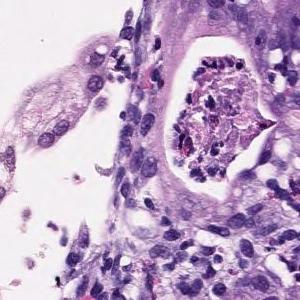
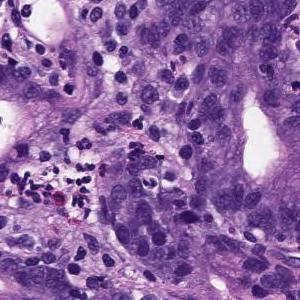
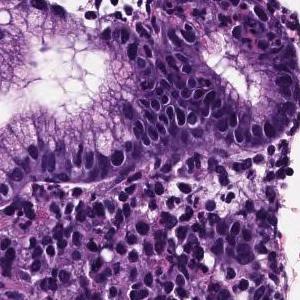
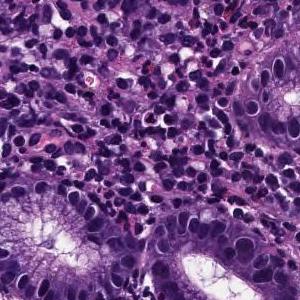
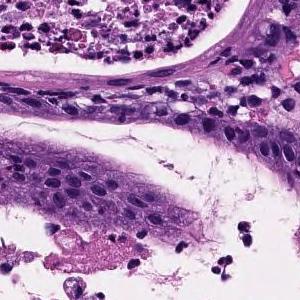
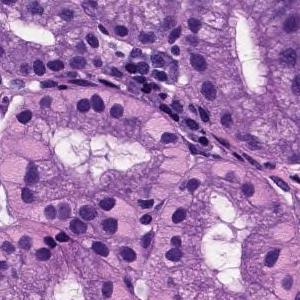
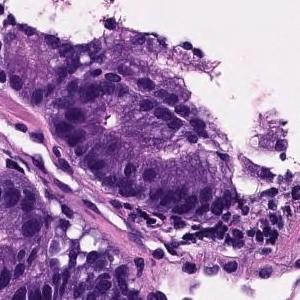
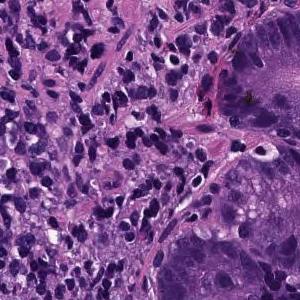
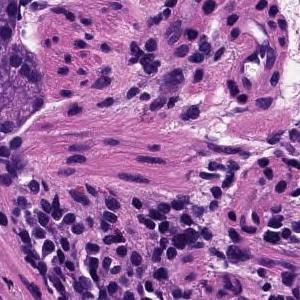
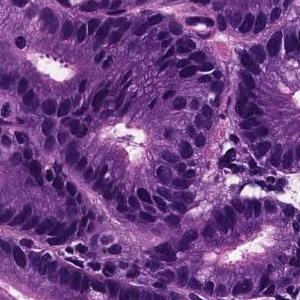
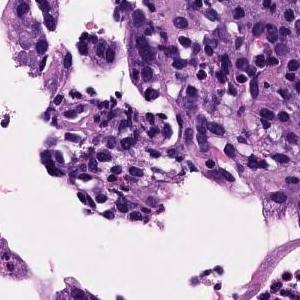
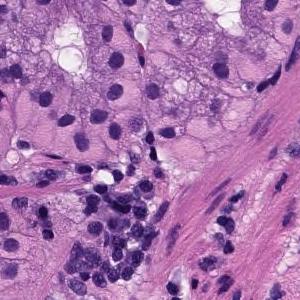
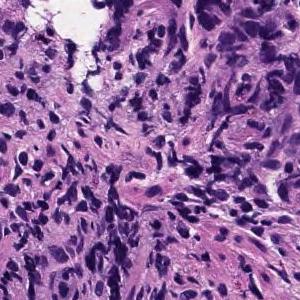
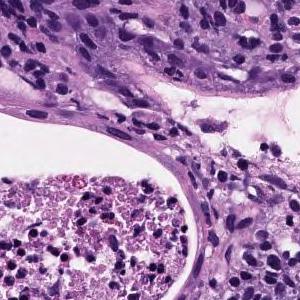
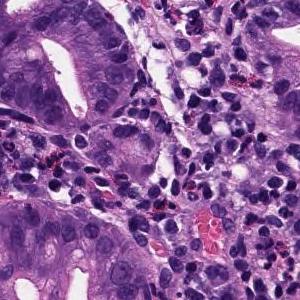
H&E; 15 tiles from the same stomach biopsy slide.
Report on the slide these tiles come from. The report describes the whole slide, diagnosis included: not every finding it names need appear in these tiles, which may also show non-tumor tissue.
Medium to small, irregular glandular ducts are formed in the superficial epithelium, and in some cases, the glandular ducts are fused to show solid alveolar lesions and infiltrating tumor tissue is observed. Moderately to poorly differentiated adenocarcinoma.
